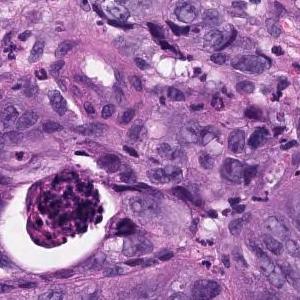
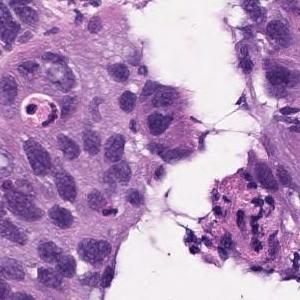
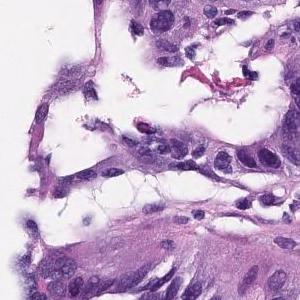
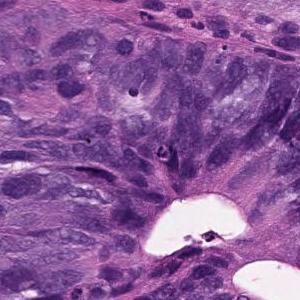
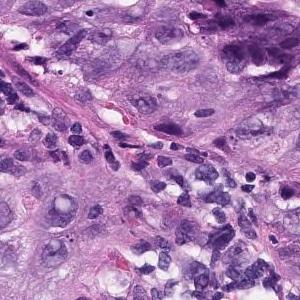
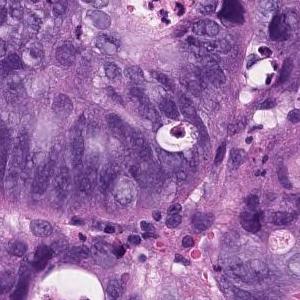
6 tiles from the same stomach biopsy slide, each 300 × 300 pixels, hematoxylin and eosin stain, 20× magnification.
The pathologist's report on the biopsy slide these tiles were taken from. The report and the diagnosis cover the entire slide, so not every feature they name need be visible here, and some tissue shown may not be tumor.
In the superficial epithelium, tumor tissue that invades by forming medium-sized to small, irregular ducts is observed. Moderately differentiated adenocarcinoma.
Subtype: Moderately differentiated tubular adenocarcinoma.
